14 image tiles from a single gastric biopsy slide, each 300 × 300 pixels, H&E stain, 20× magnification.
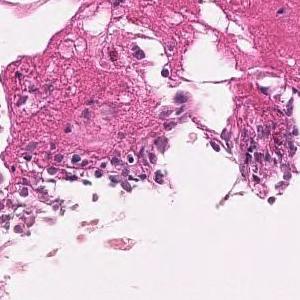
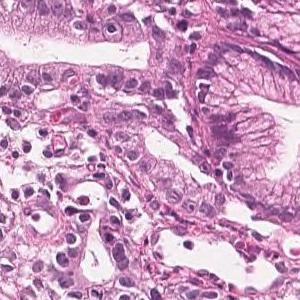
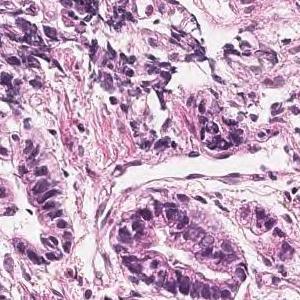
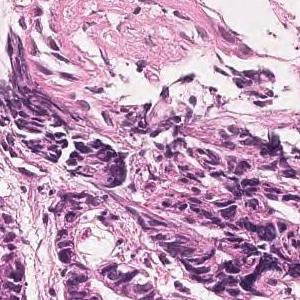
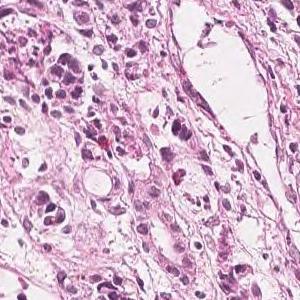
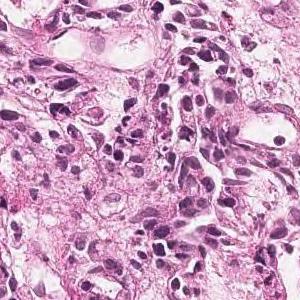
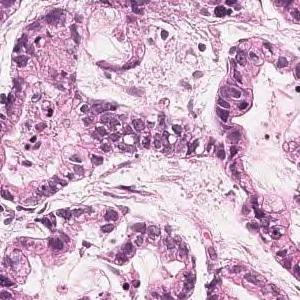
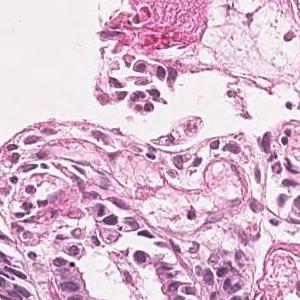
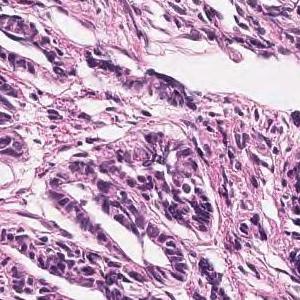
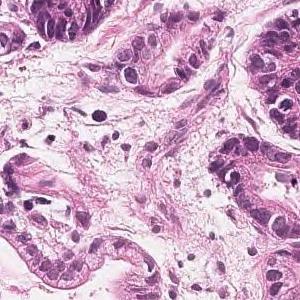
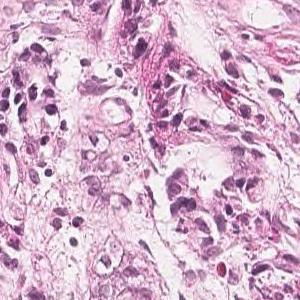
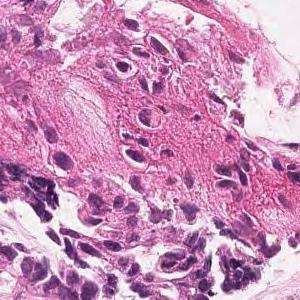
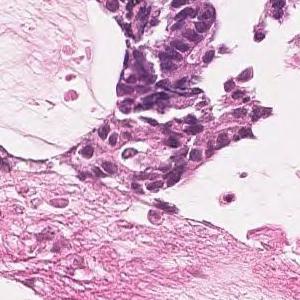
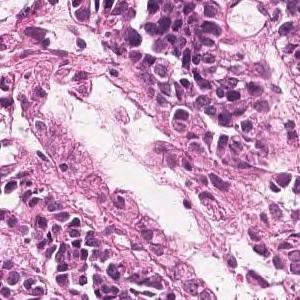
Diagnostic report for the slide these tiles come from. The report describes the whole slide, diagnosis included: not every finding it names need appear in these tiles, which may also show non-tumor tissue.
On the superficial epithelium, tumor tissue consisting of large, irregular glandular ducts partially fused and infiltrated is observed. Well to moderately differentiated tubular adenocarcinoma (well differentiated tubular adenocarcinoma, moderately differentiated tubular adenocarcinoma)
Tumor subtype: well to moderately differentiated tubular adenocarcinoma.
